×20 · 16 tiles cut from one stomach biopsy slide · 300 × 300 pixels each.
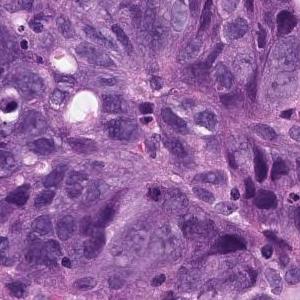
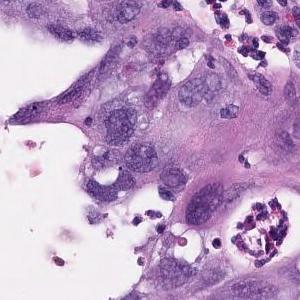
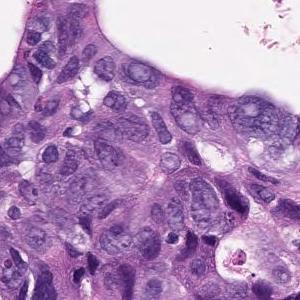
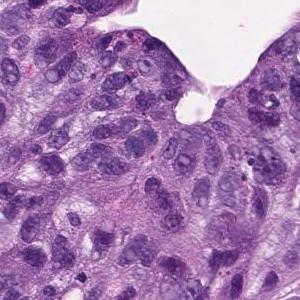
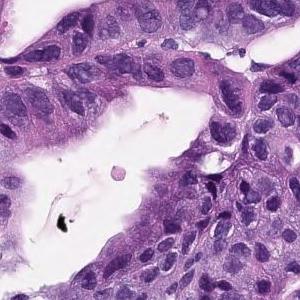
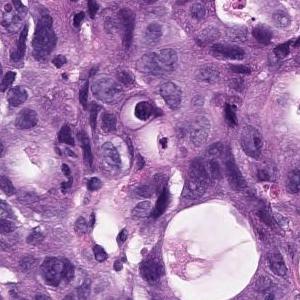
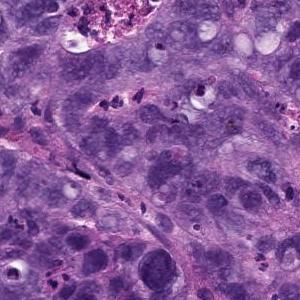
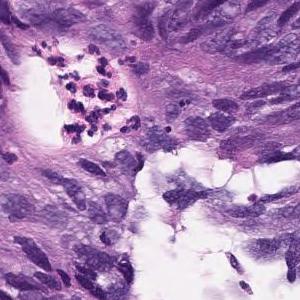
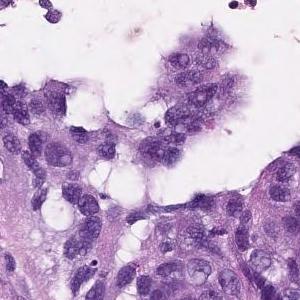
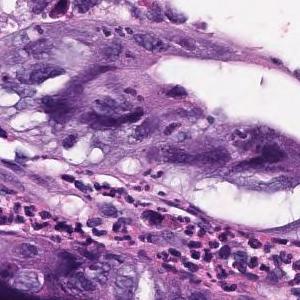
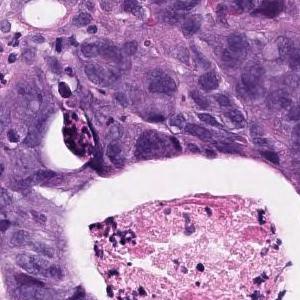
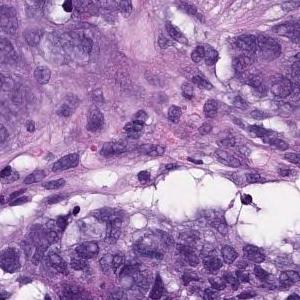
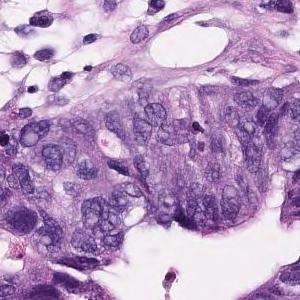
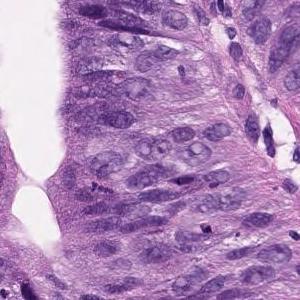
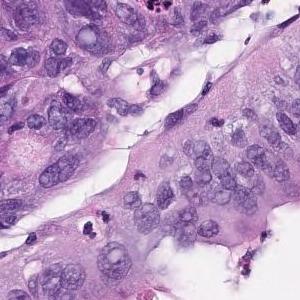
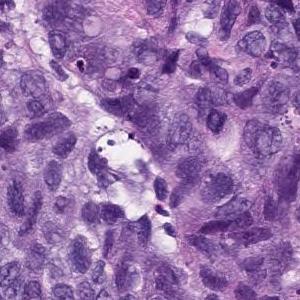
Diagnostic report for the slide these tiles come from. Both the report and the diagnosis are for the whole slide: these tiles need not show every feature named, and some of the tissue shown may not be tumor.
In the superficial epithelium, tumor tissue that invades by forming medium-sized to small, irregular ducts is observed. Moderately differentiated adenocarcinoma.
Tumor subtype: moderately differentiated tubular adenocarcinoma.
